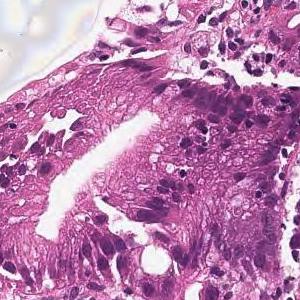
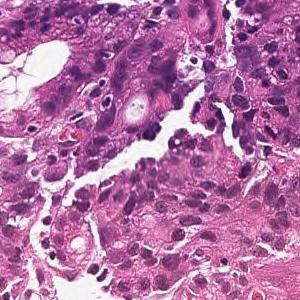
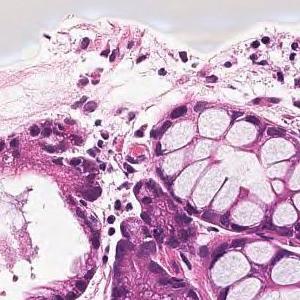
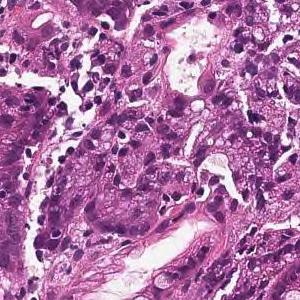
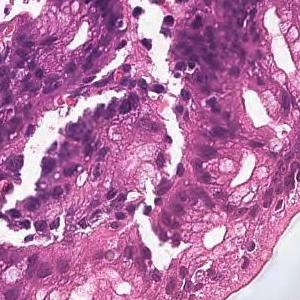
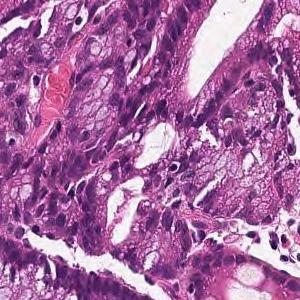
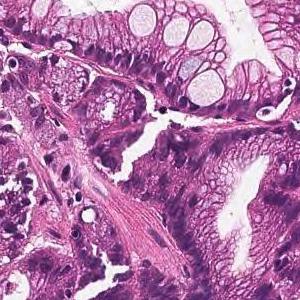
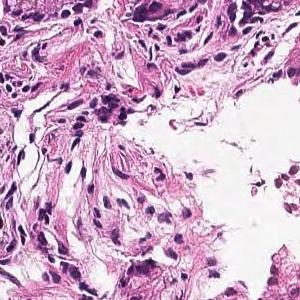
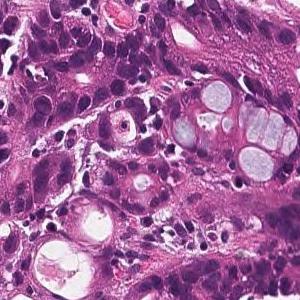
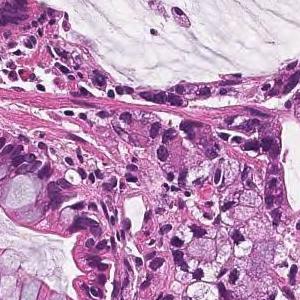
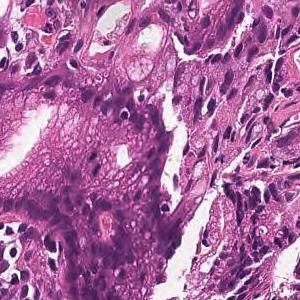
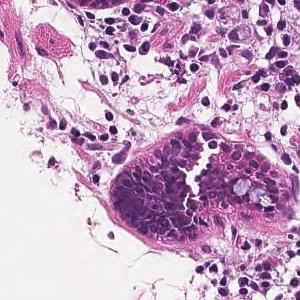
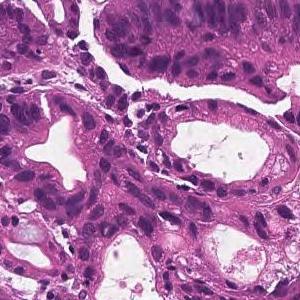
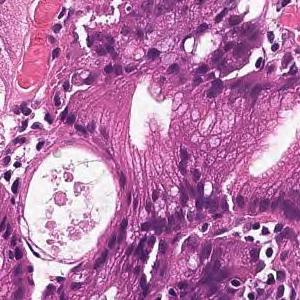
14 tiles cut from one stomach biopsy slide.
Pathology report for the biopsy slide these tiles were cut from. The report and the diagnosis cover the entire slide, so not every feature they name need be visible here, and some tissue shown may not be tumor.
In the superficial epithelium, tumor tissue that invades by forming medium-sized to small, irregular ducts is observed. moderately differentiated tubular adenocarcinoma.
